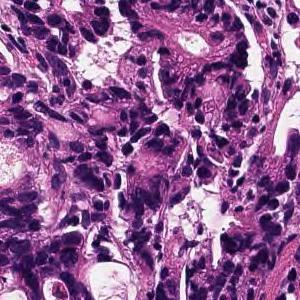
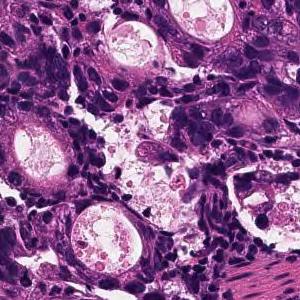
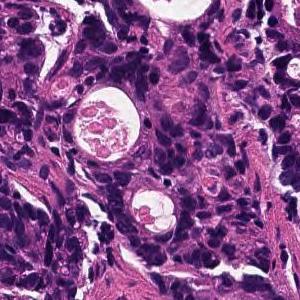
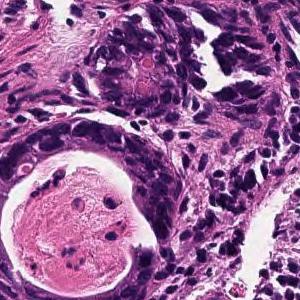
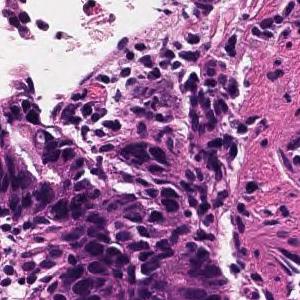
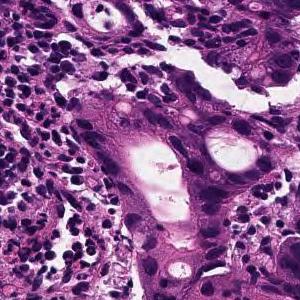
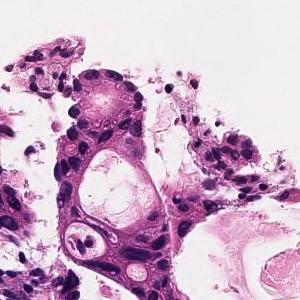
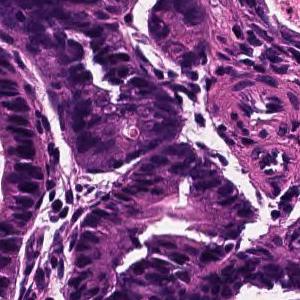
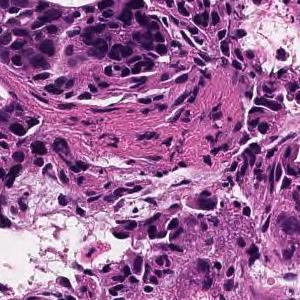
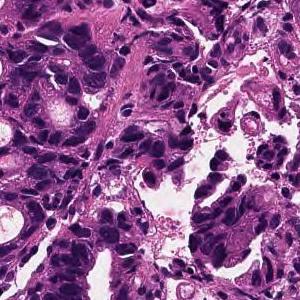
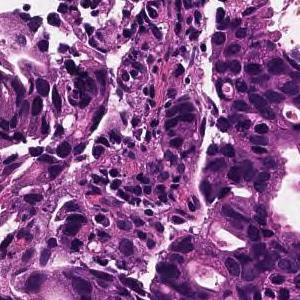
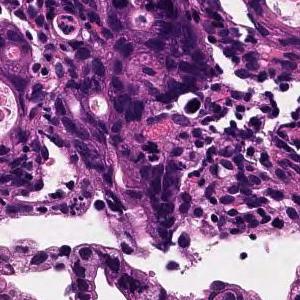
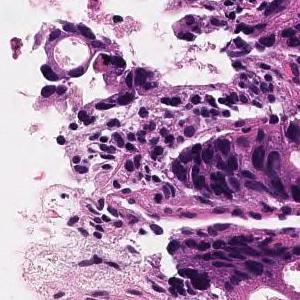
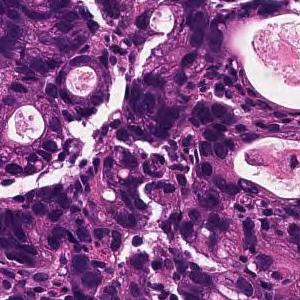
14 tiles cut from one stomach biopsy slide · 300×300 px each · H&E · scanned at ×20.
The pathologist's report on the biopsy slide these tiles were taken from. The findings and the diagnosis refer to the entire slide; these tiles show only part of it, possibly with non-tumor tissue, and may not show every feature named.
In the superficial epithelium, tumor tissue that invades by forming medium-sized to small, irregular ducts is observed. moderately differentiated tubular adenocarcinoma.
